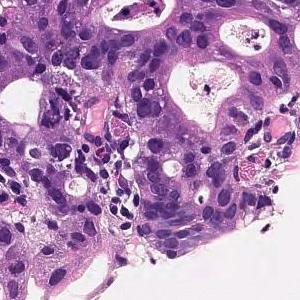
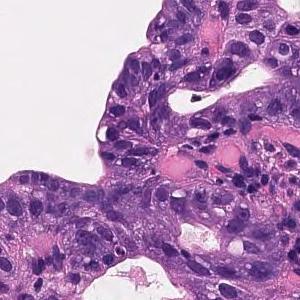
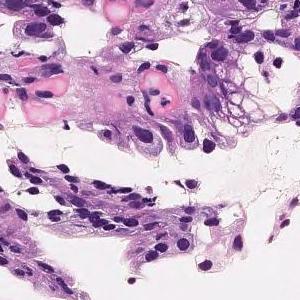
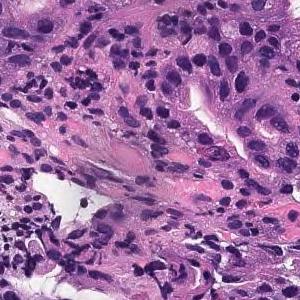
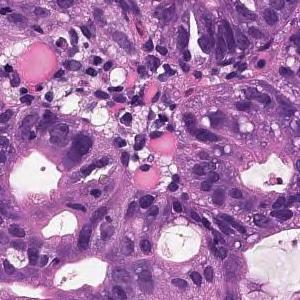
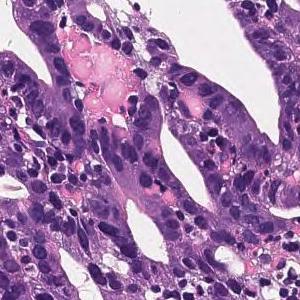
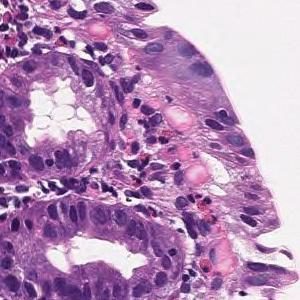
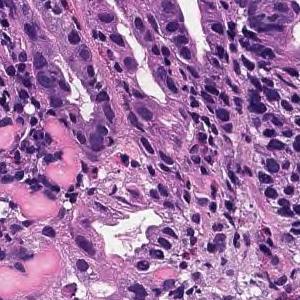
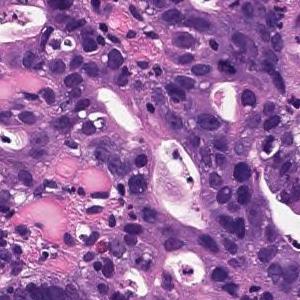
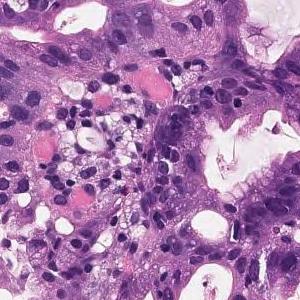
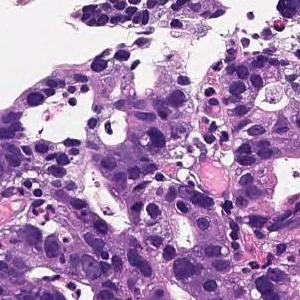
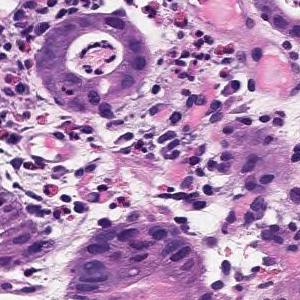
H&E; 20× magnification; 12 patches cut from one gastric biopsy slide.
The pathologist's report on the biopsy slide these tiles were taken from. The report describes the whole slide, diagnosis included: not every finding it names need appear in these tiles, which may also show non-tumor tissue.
On the superficial epithelium, tumor tissue consisting of large, irregular glandular ducts partially fused and infiltrated is observed. Well to moderately differentiated tubular adenocarcinoma (well differentiated tubular adenocarcinoma, moderately differentiated tubular adenocarcinoma)
Classified as well to moderately differentiated tubular adenocarcinoma.
